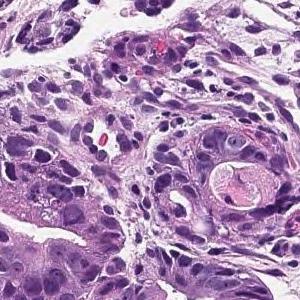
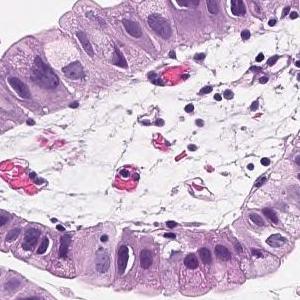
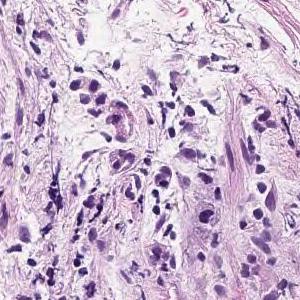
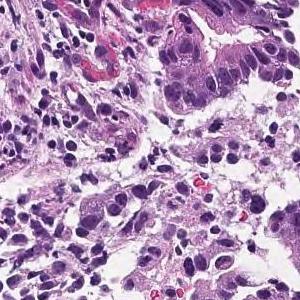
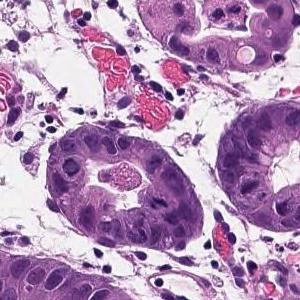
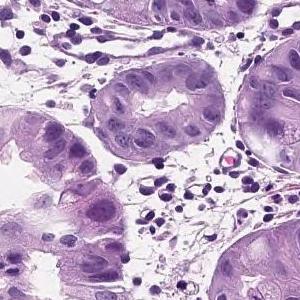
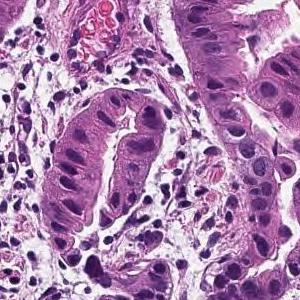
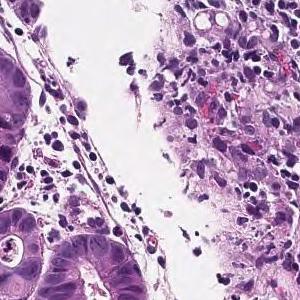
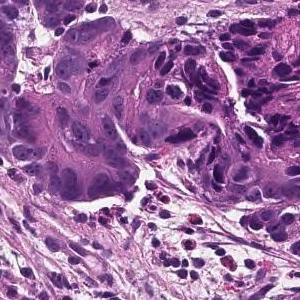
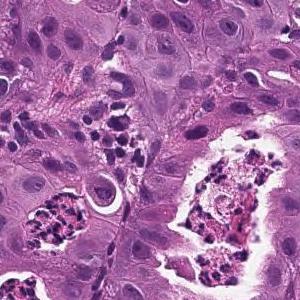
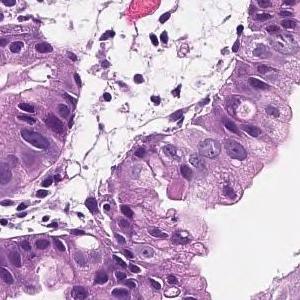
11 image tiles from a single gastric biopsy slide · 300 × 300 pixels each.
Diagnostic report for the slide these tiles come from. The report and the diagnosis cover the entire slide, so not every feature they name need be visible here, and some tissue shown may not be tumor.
On the superficial epithelium, tumor tissue that infiltrates by forming medium-sized papillary or small irregular ducts is observed. Papillary adenocarcinoma
